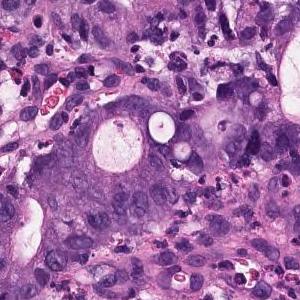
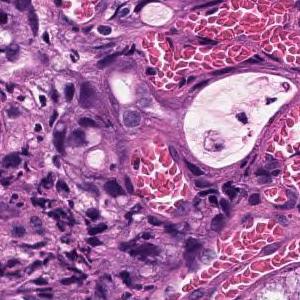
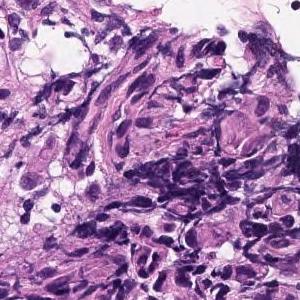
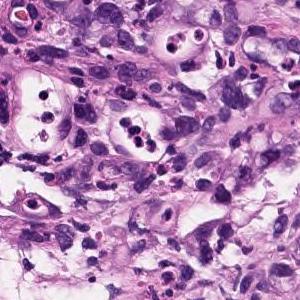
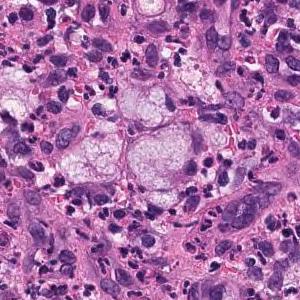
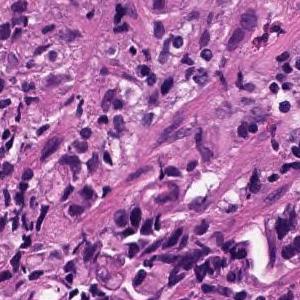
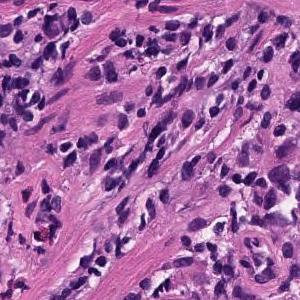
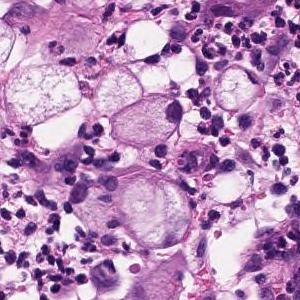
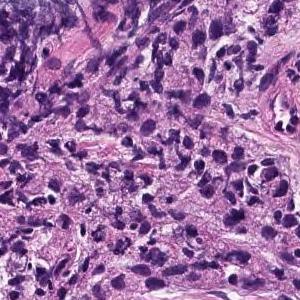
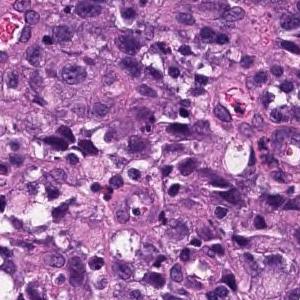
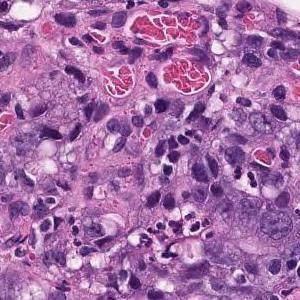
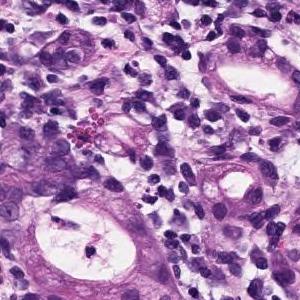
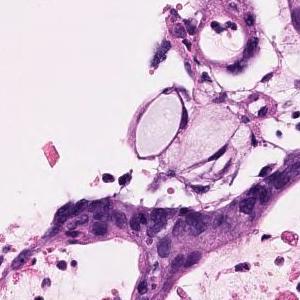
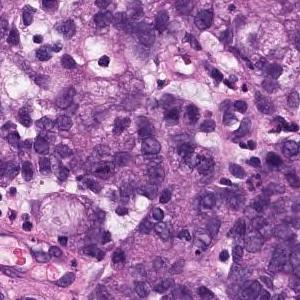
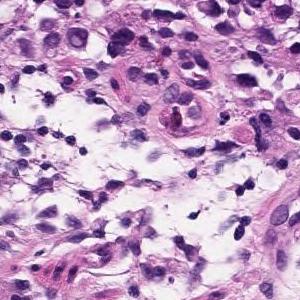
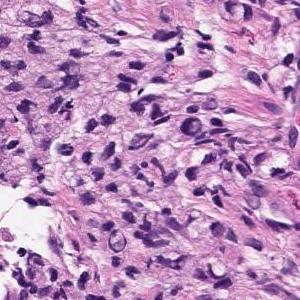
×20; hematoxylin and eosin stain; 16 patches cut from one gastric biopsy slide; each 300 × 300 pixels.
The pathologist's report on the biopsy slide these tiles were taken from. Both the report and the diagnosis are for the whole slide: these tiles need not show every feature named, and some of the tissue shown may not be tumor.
Atypical epithelium forms irregularly fused gland ducts and proliferates. Poorly differentiated adenocarcinoma.
Histological subtype: Poorly differentiated adenocarcinoma, non-solid type.
The term "non-solid type" comes from the Japanese Classification of Gastric Carcinoma.
